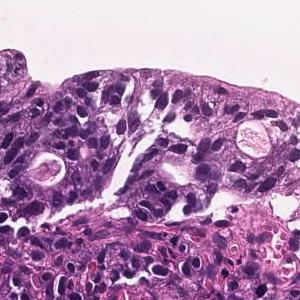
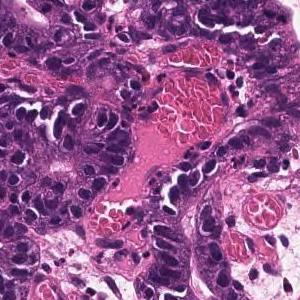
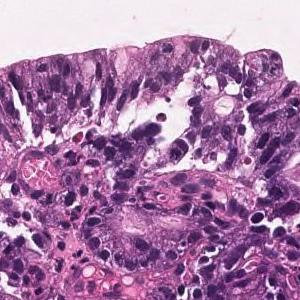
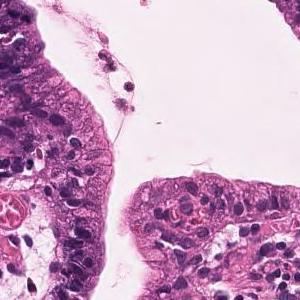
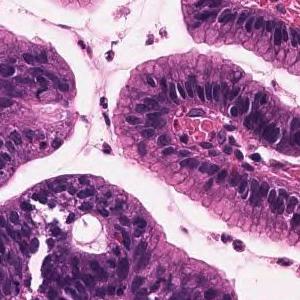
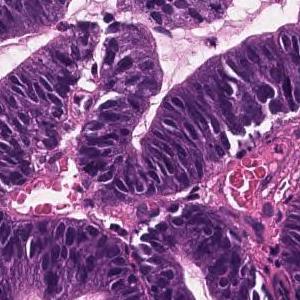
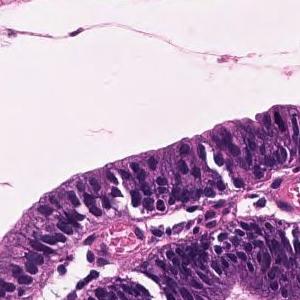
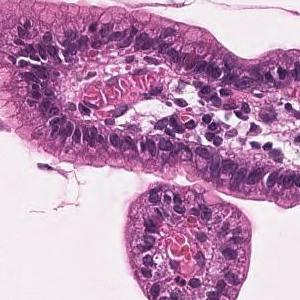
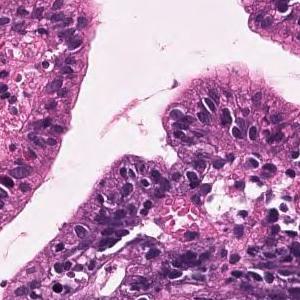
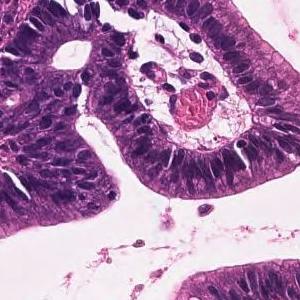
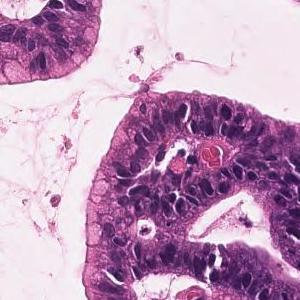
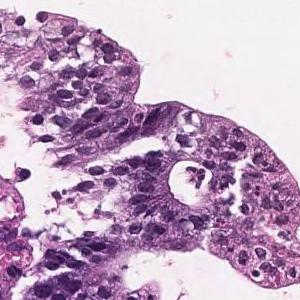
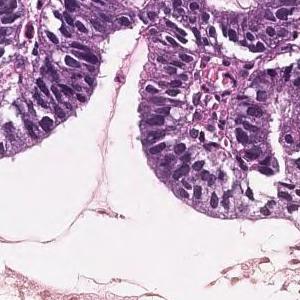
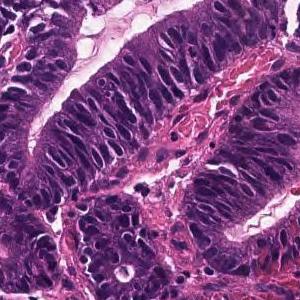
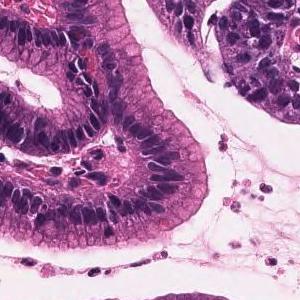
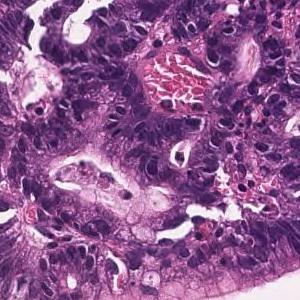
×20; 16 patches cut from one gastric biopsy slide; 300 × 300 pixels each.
Diagnostic report for the slide these tiles come from. The report and the diagnosis cover the entire slide, so not every feature they name need be visible here, and some tissue shown may not be tumor.
On the superficial epithelium, tumor tissue that infiltrates by forming medium-sized papillary or small irregular ducts is observed. Papillary adenocarcinoma
